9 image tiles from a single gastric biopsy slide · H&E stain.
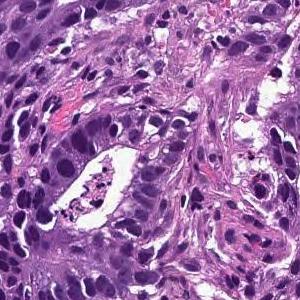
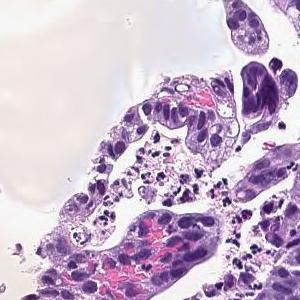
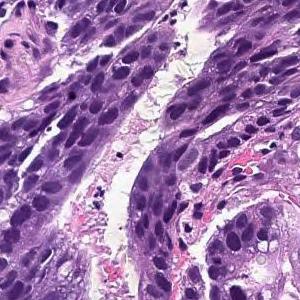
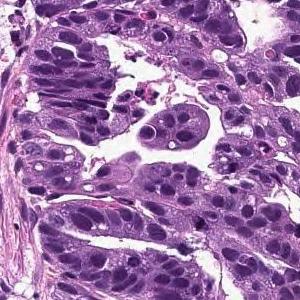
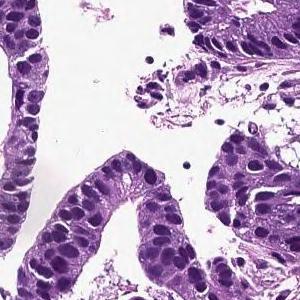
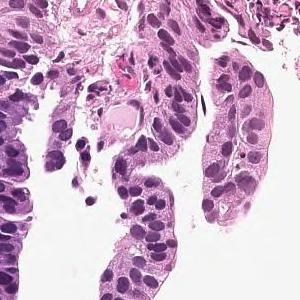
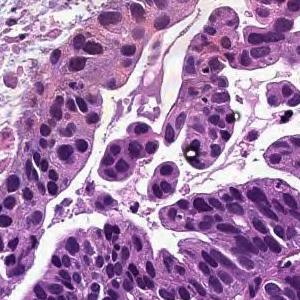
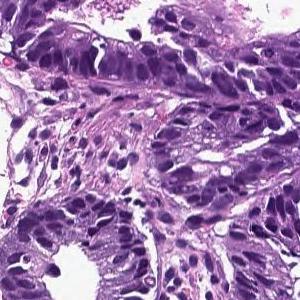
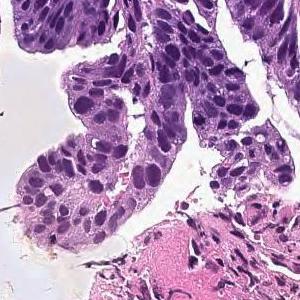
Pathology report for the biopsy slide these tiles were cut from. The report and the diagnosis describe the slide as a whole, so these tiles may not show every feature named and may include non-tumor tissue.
Tumor cells are large, highly columnar, large club-shaped nuclei, and are associated with chromatin aggregation. Papillary adenocarcinoma.
